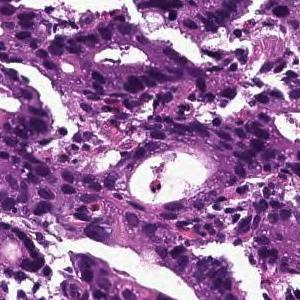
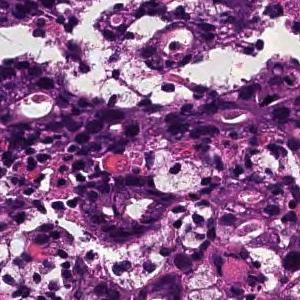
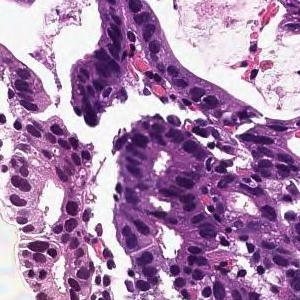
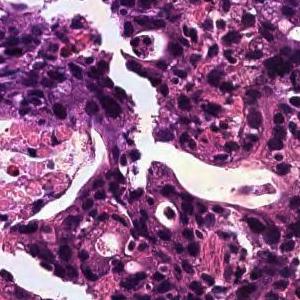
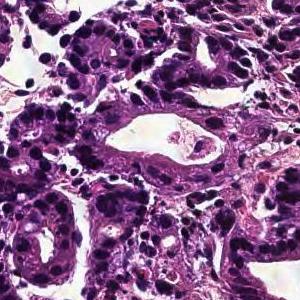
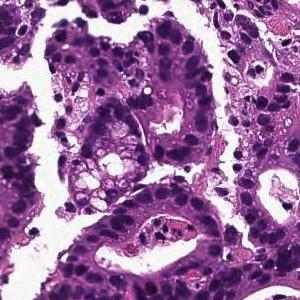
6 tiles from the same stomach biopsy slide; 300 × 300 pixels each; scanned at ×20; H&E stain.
Pathology report for the biopsy slide these tiles were cut from. The report and the diagnosis cover the entire slide, so not every feature they name need be visible here, and some tissue shown may not be tumor.
In the superficial epithelium, tumor tissue that invades by forming medium-sized to small, irregular ducts is observed. moderately differentiated tubular adenocarcinoma.
